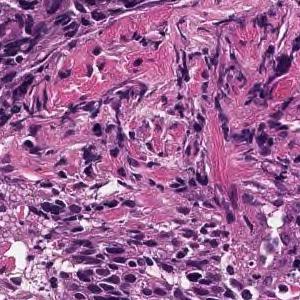
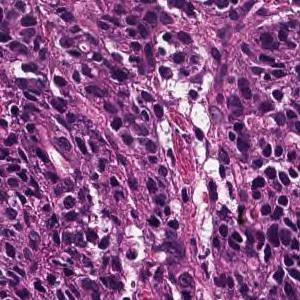
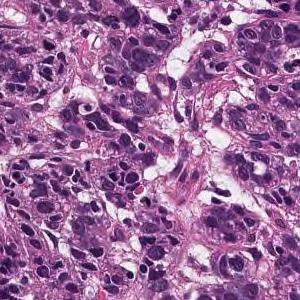
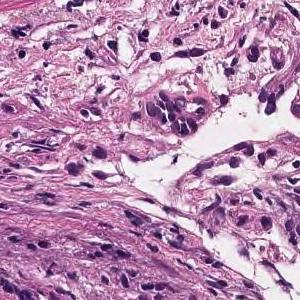
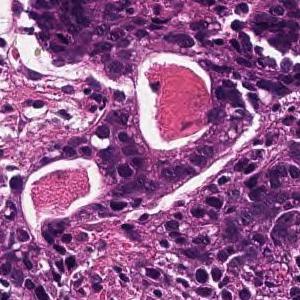
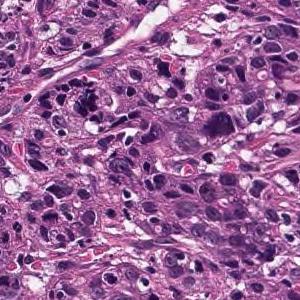
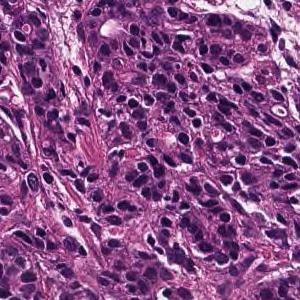
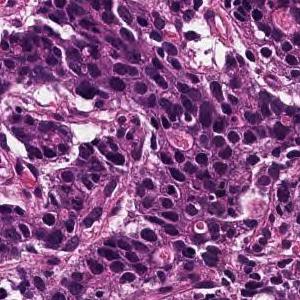
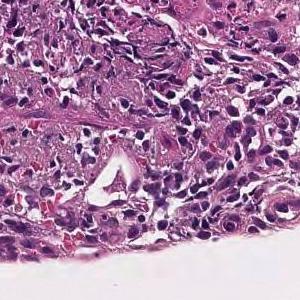
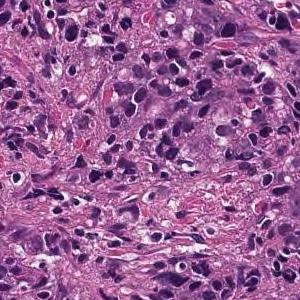
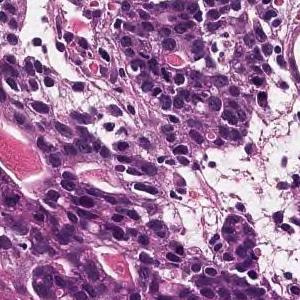
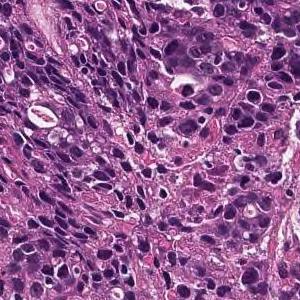
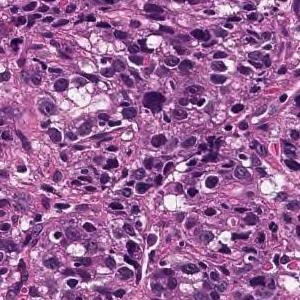
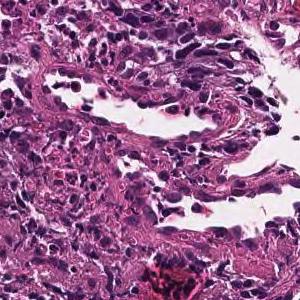
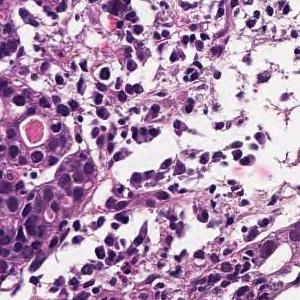
15 tiles cut from one stomach biopsy slide; ×20; H&E stain.
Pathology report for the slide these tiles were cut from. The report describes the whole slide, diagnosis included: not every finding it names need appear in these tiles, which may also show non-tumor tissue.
Medium to small, irregular glandular ducts are formed in the superficial epithelium, and in some cases, the glandular ducts are fused to show solid alveolar lesions and infiltrating tumor tissue is observed. Moderately to poorly differentiated adenocarcinoma.
